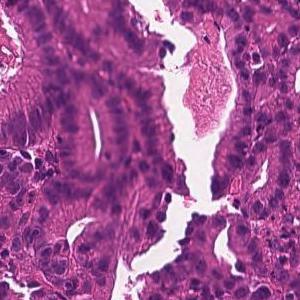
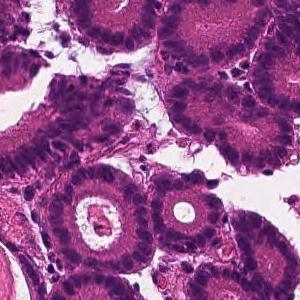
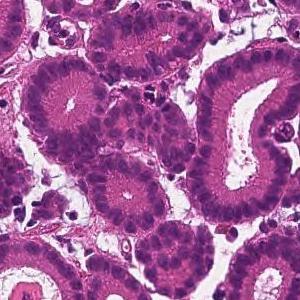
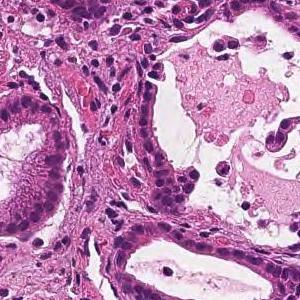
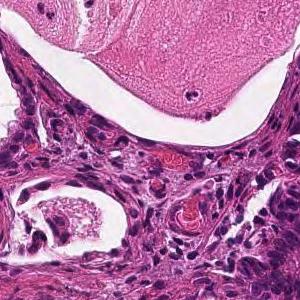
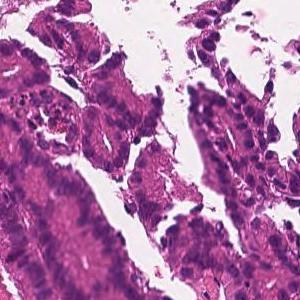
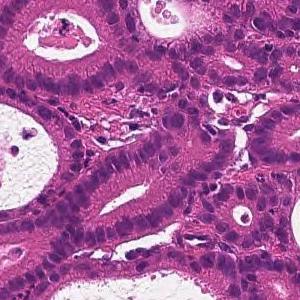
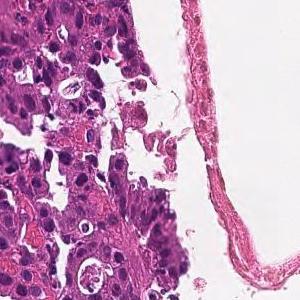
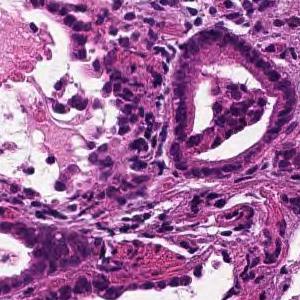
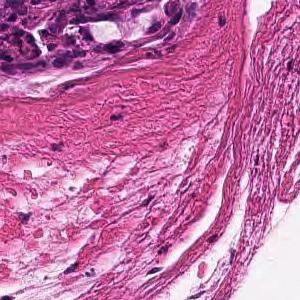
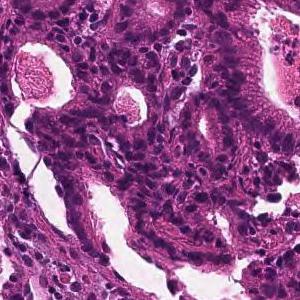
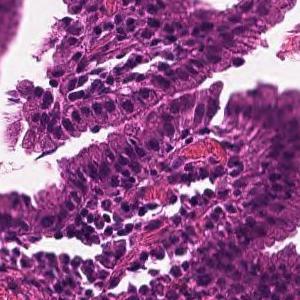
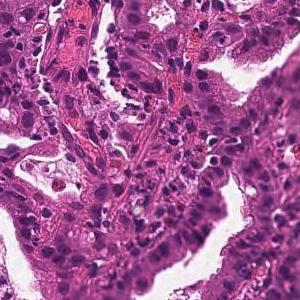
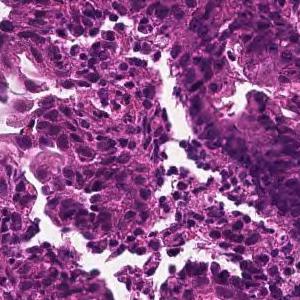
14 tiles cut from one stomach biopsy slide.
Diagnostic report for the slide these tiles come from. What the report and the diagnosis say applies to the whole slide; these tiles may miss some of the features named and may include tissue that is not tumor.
From the superficial epithelium to the muscularis mucosae, tumor tissue consisting of medium-sized and irregular glandular ducts infiltrating is observed. Well differentiated tubular adenocarcinoma
